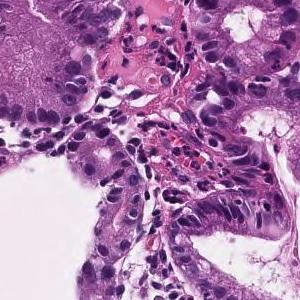
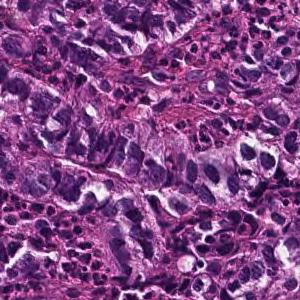
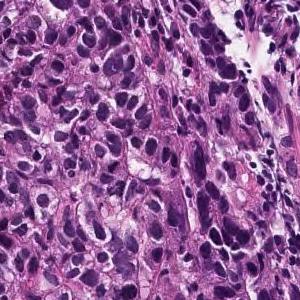
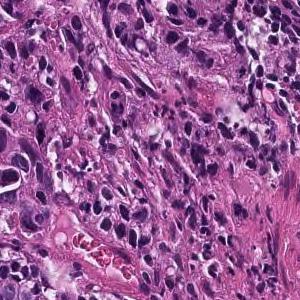
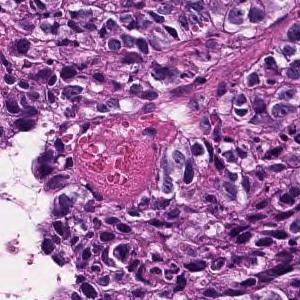
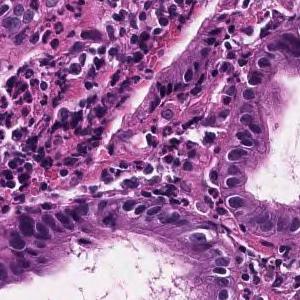
Scanned at ×20; H&E; 6 tiles cut from one stomach biopsy slide; 300×300 px each.
Report on the slide these tiles come from. The findings and the diagnosis refer to the entire slide; these tiles show only part of it, possibly with non-tumor tissue, and may not show every feature named.
In the superficial epithelium, tumor tissue that invades by forming medium-sized to small, irregular ducts is observed. moderately differentiated tubular adenocarcinoma.
